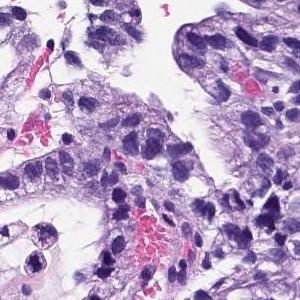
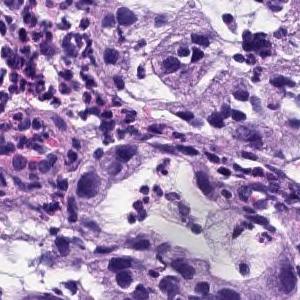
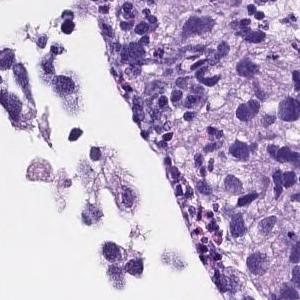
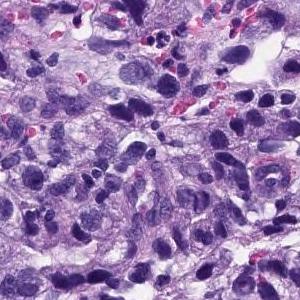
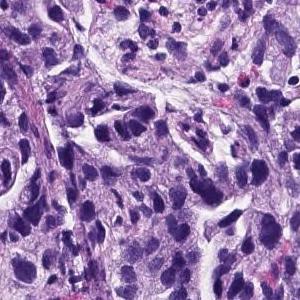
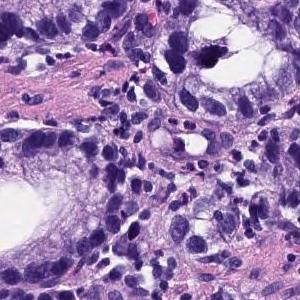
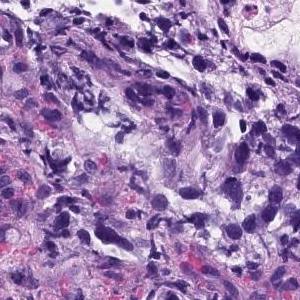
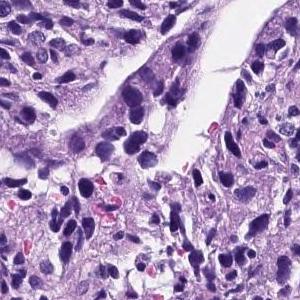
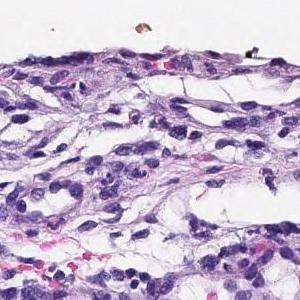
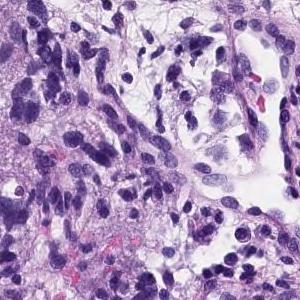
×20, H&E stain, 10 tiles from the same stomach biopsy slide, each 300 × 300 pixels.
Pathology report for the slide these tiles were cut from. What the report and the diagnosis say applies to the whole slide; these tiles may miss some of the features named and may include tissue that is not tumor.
Medium to small, irregular glandular ducts are formed in the superficial epithelium, and in some cases, the glandular ducts are fused to show solid alveolar lesions and infiltrating tumor tissue is observed. Poorly differentiated adenocarcinoma, Moderately differentiated adenocarcinoma.
Dataset label: moderately differentiated tubular adenocarcinoma.
